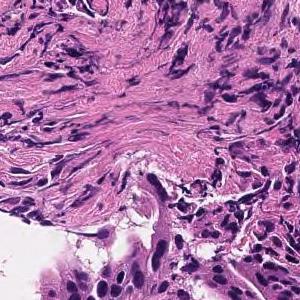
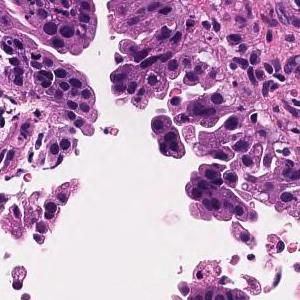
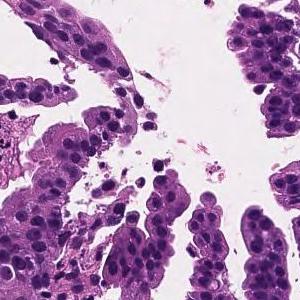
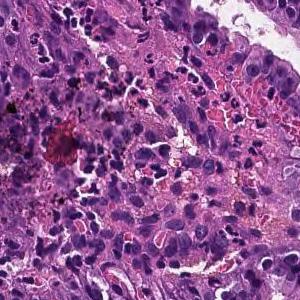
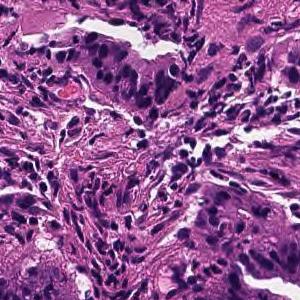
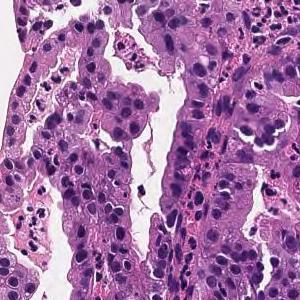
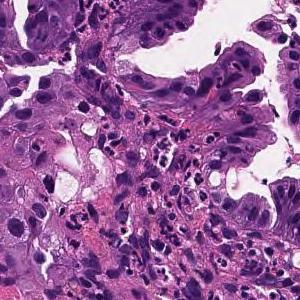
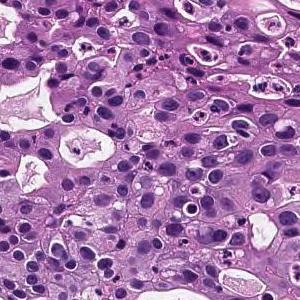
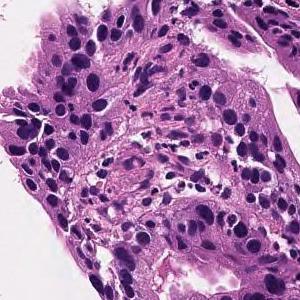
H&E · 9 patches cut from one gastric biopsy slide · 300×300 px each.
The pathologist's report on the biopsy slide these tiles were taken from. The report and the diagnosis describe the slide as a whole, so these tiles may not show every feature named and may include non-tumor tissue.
On the superficial epithelium, tumor tissue consisting of large, irregular glandular ducts partially fused and infiltrated is observed. Well to moderately differentiated tubular adenocarcinoma (well differentiated tubular adenocarcinoma, moderately differentiated tubular adenocarcinoma)
Tumor subtype: well to moderately differentiated tubular adenocarcinoma.
